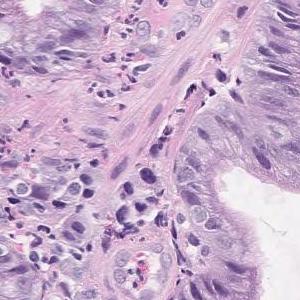
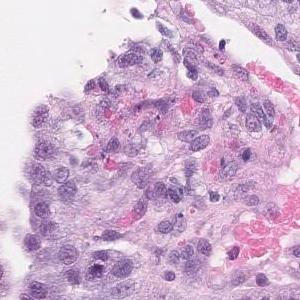
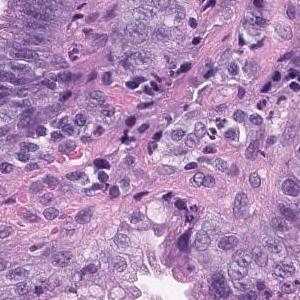
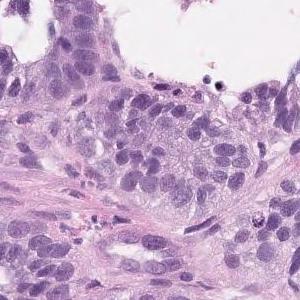
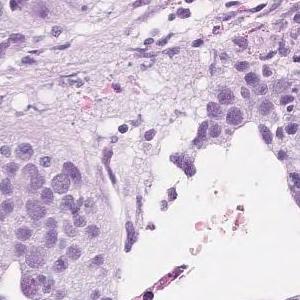
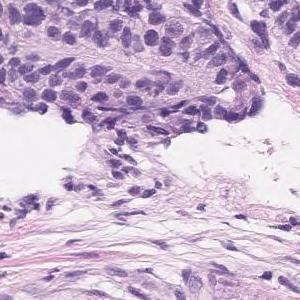
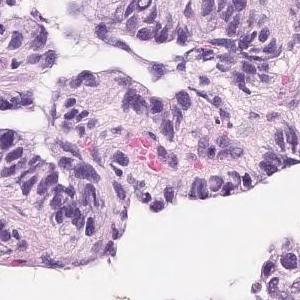
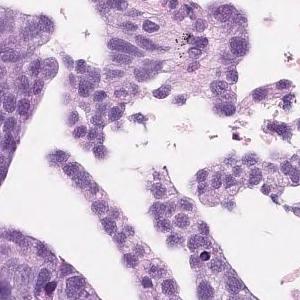
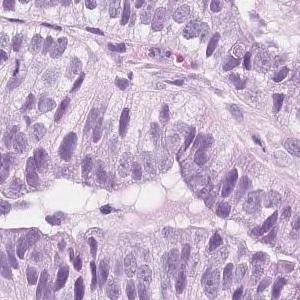
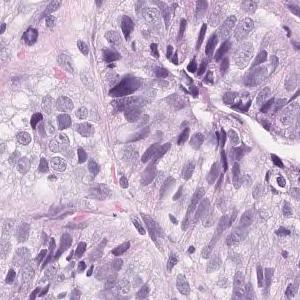
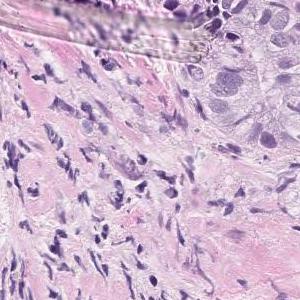
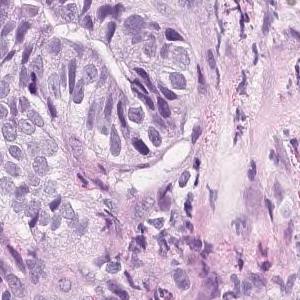
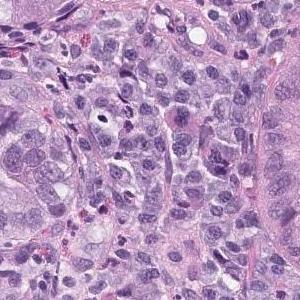
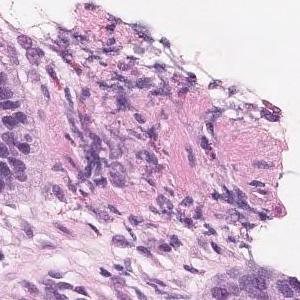
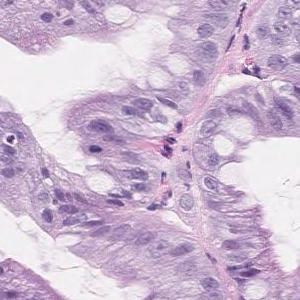
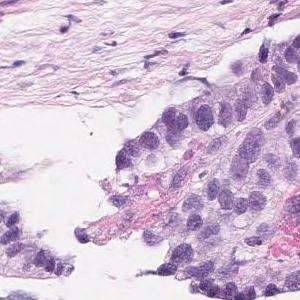
16 tiles from the same stomach biopsy slide · ×20 · hematoxylin and eosin stain.
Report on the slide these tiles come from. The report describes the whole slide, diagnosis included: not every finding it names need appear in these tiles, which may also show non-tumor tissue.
Tumor tissue in which highly columnar atypical epithelial cells with nuclear enlargement and increased nuclear chromatin show papillary to papillary ductal structure and proliferate is observed. Papillary adenocarcinoma.
